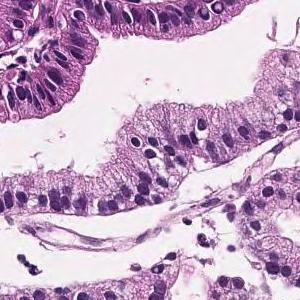
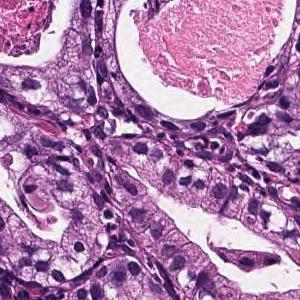
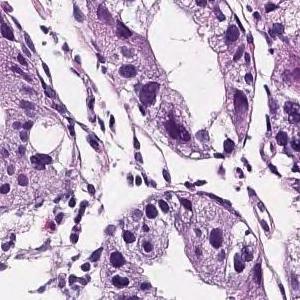
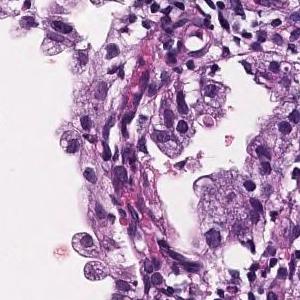
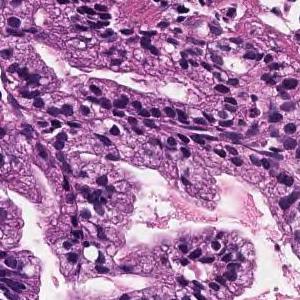
5 tiles from the same stomach biopsy slide; each 300 × 300 pixels; ×20; hematoxylin and eosin stain.
The pathologist's report on the biopsy slide these tiles were taken from. The report and the diagnosis cover the entire slide, so not every feature they name need be visible here, and some tissue shown may not be tumor.
In the superficial epithelium, tumor tissue that infiltrates by forming medium-sized papillary or small irregular ducts is observed. Papillary adenocarcinoma
